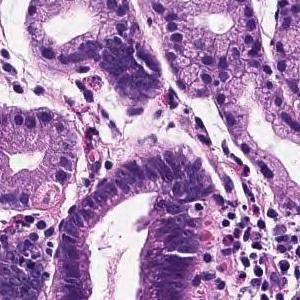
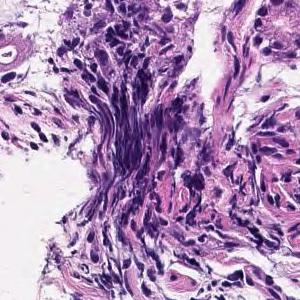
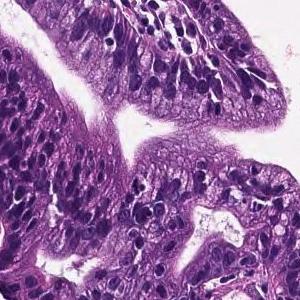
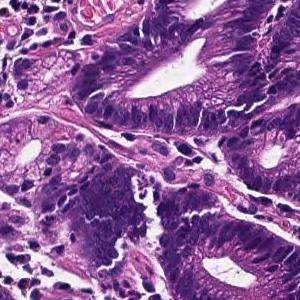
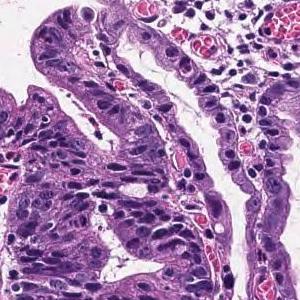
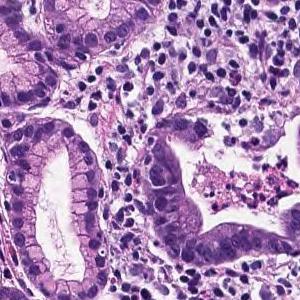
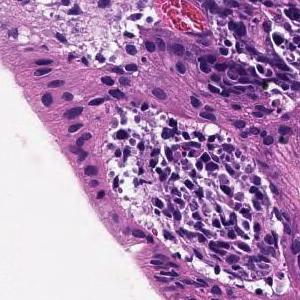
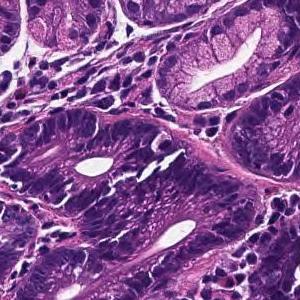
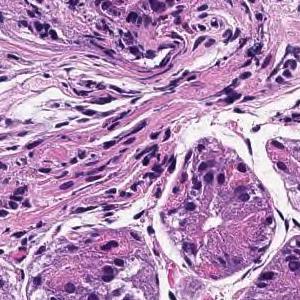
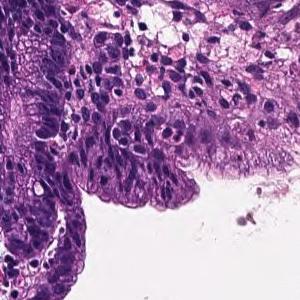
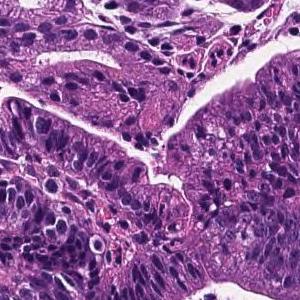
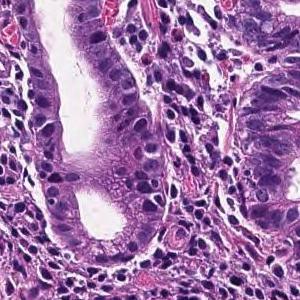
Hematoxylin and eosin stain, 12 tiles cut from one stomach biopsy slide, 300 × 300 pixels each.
The pathologist's report on the biopsy slide these tiles were taken from. What the report and the diagnosis say applies to the whole slide; these tiles may miss some of the features named and may include tissue that is not tumor.
From the superficial epithelium to the muscularis mucosae, tumor tissue consisting of medium-sized and irregular glandular ducts infiltrating is observed. Well differentiated tubular adenocarcinoma
